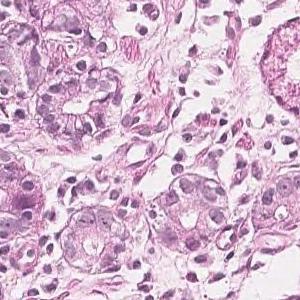
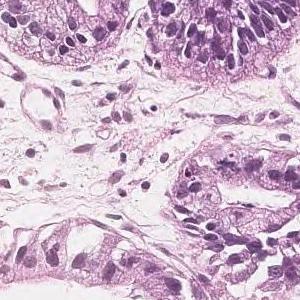
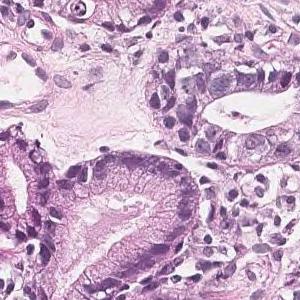
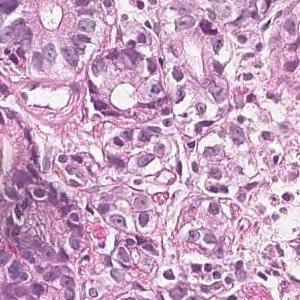
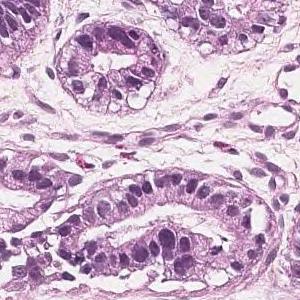
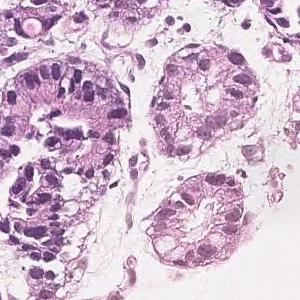
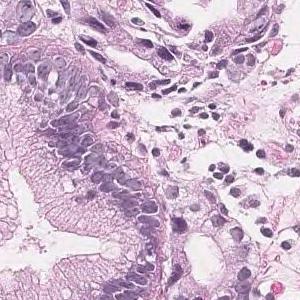
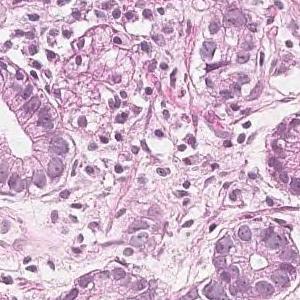
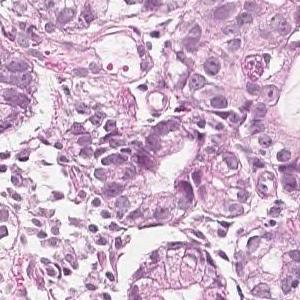
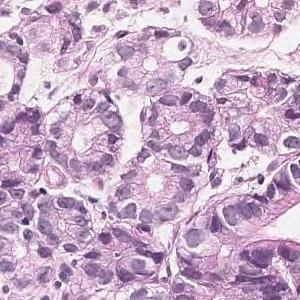
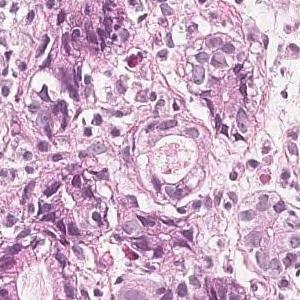
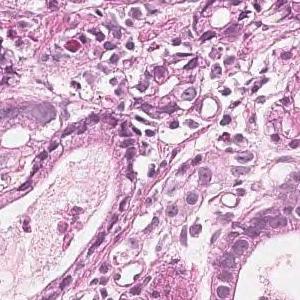
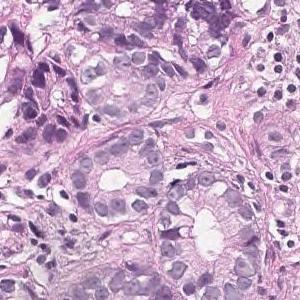
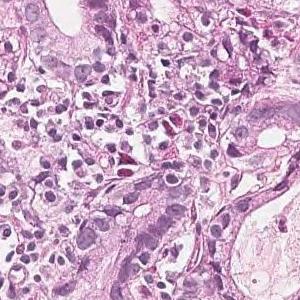
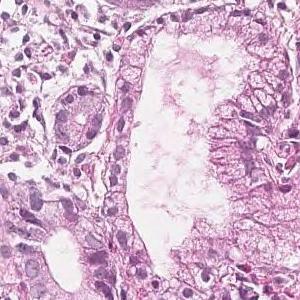
H&E stain; 20× magnification; 15 image tiles from a single gastric biopsy slide.
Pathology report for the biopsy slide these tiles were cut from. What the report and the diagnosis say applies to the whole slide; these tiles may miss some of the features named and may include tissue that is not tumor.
In the superficial epithelium, tumor tissue that invades by forming medium-sized to small, irregular ducts is observed. moderately differentiated tubular adenocarcinoma.
